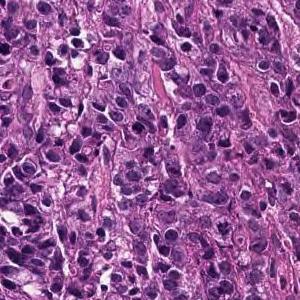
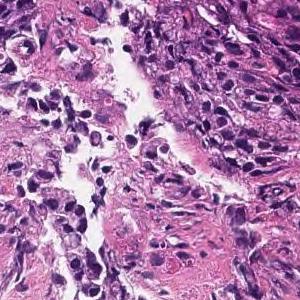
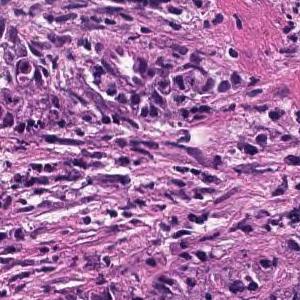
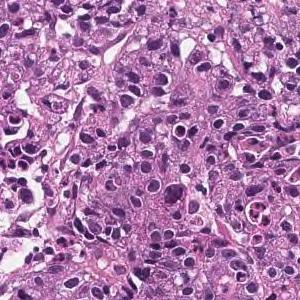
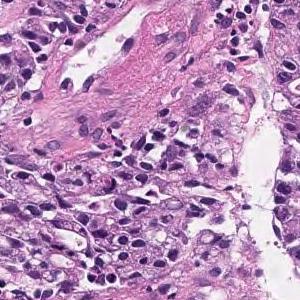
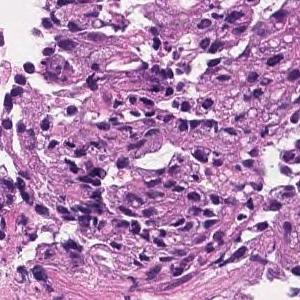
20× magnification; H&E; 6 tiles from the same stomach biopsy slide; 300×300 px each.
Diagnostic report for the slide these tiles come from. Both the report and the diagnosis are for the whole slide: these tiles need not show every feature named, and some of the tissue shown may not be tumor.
Medium to small, irregular glandular ducts are formed in the superficial epithelium, and in some cases, the glandular ducts are fused to show solid alveolar lesions and infiltrating tumor tissue is observed. Moderately to poorly differentiated adenocarcinoma.
